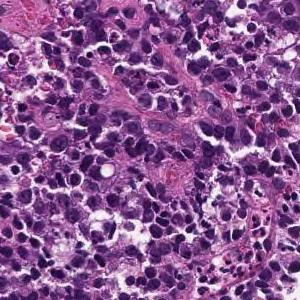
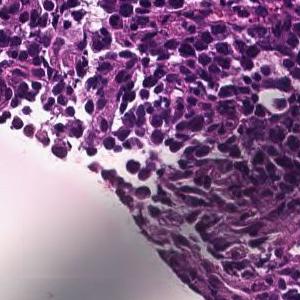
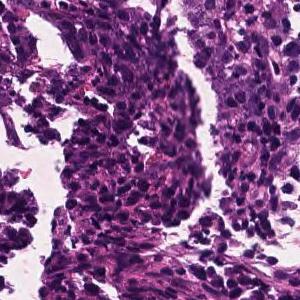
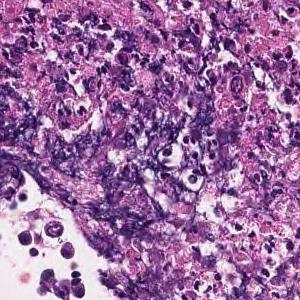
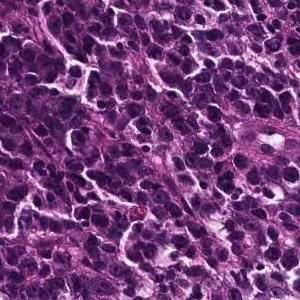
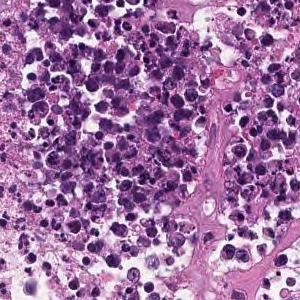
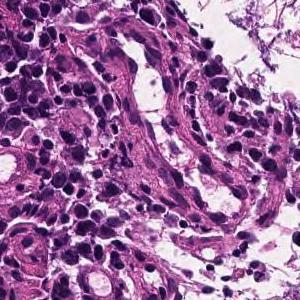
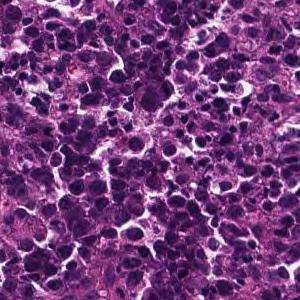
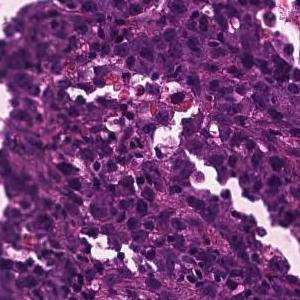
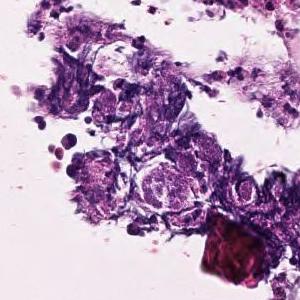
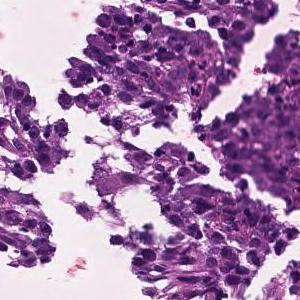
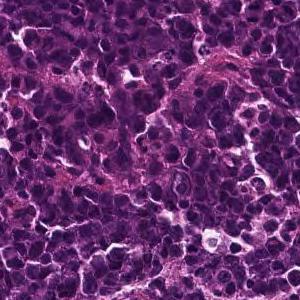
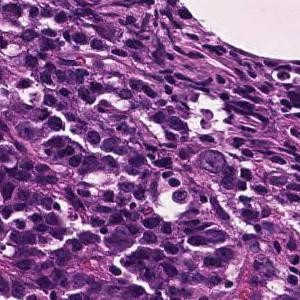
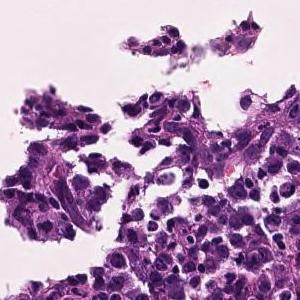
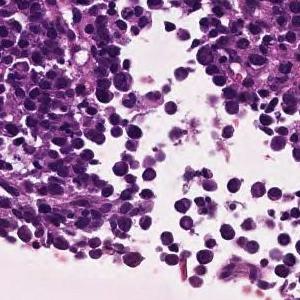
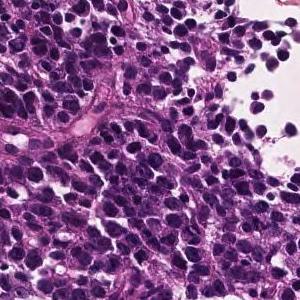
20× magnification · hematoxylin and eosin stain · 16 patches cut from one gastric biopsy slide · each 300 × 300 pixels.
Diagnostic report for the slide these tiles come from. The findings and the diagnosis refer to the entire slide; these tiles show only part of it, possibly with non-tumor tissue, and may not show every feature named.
The superficial epithelium shows a large sheet-like shape, and some tumor tissue infiltrates with small irregular ducts. Poorly differentiated adenocarcinoma, solid-type
Subtype: Poorly differentiated adenocarcinoma, solid type, a category of the Japanese Classification of Gastric Carcinoma; in the WHO 2019 classification it is tubular adenocarcinoma, poorly differentiated.
